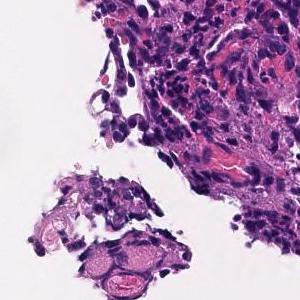
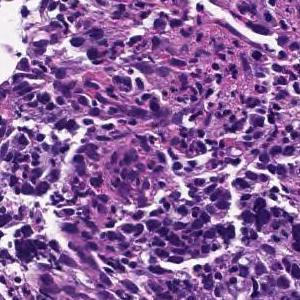
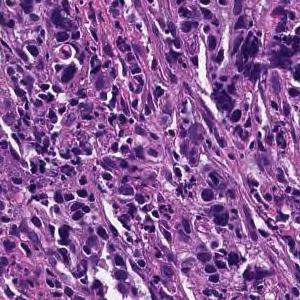
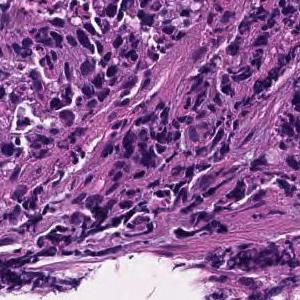
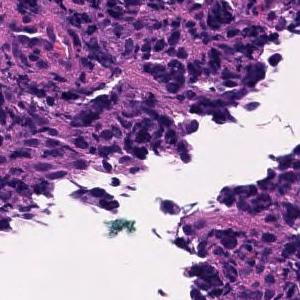
5 patches cut from one gastric biopsy slide · each 300 × 300 pixels · 20× magnification · hematoxylin and eosin stain.
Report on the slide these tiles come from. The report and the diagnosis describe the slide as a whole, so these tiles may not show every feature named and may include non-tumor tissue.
Tumor tissue consisting of cord-like or small, irregular glandular ducts fused and infiltrated is observed in the superficial epithelium. Poorly differentiated adenocarcinoma, non-solid type
The term "non-solid type" comes from the Japanese Classification of Gastric Carcinoma.
